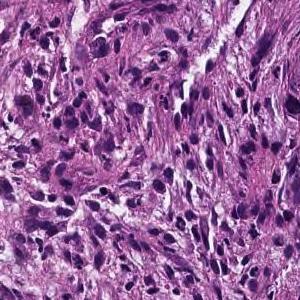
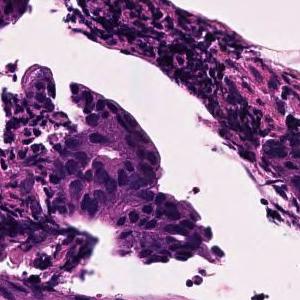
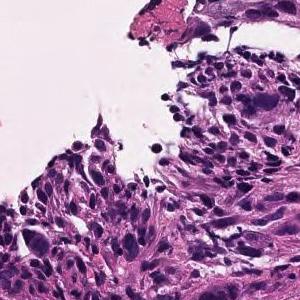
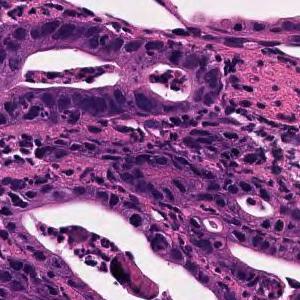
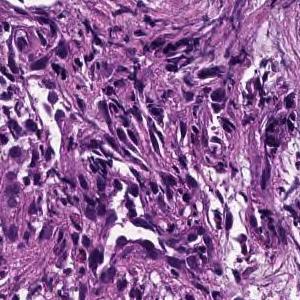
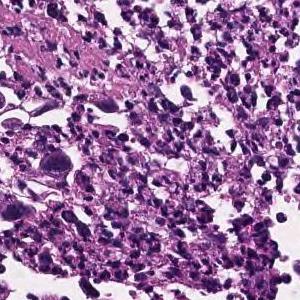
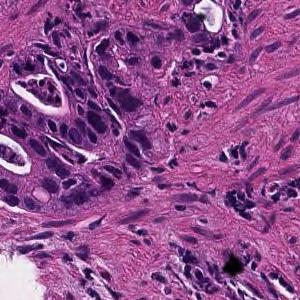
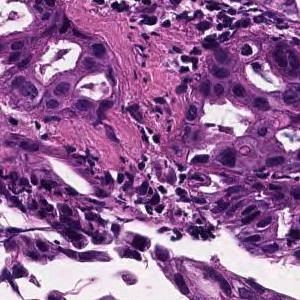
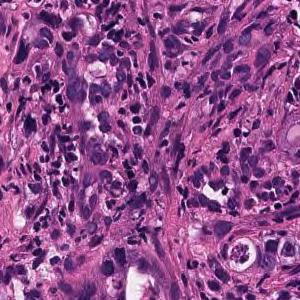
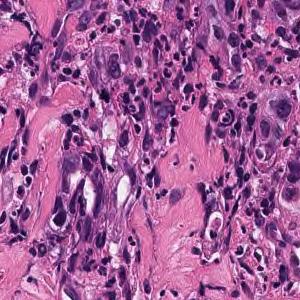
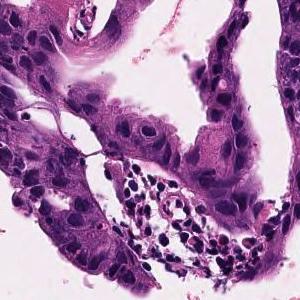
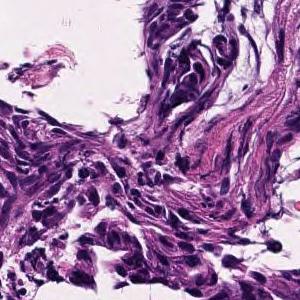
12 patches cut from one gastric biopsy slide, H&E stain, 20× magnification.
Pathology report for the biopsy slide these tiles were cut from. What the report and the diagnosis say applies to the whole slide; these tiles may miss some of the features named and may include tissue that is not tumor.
In the superficial epithelium, medium-sized to small irregular glandular ducts are formed, and in some cases, the glandular ducts are fused or small cord-like infiltrating tumor tissue is observed. moderately differentiated tubular adenocarcinoma
